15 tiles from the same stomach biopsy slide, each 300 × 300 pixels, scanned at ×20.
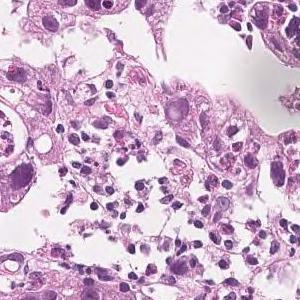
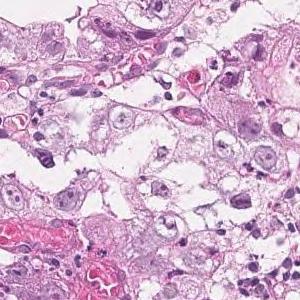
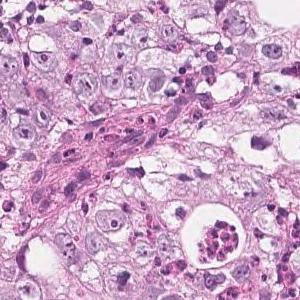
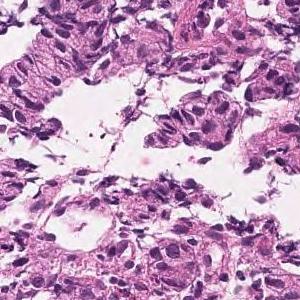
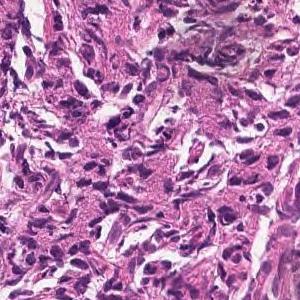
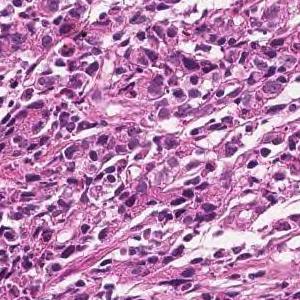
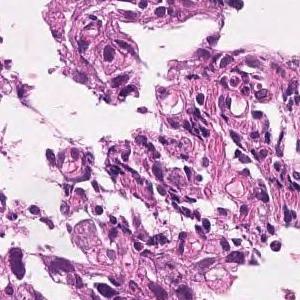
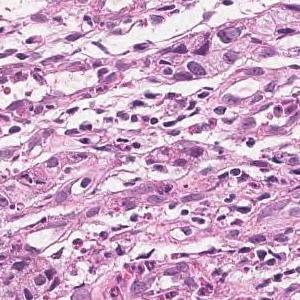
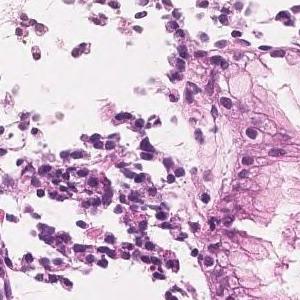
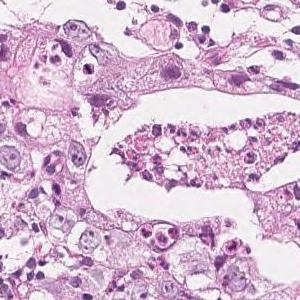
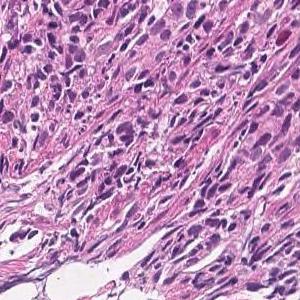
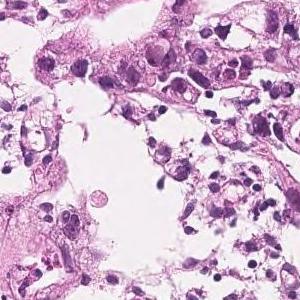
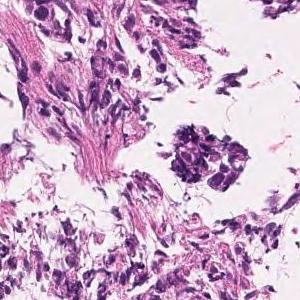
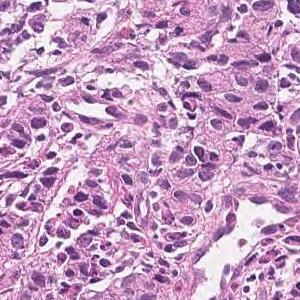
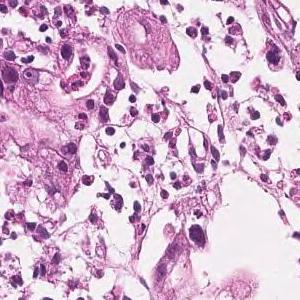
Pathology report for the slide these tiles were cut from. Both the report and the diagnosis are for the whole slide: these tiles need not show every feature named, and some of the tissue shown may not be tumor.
In the superficial epithelium, medium to small, irregular glandular ducts are formed, and in some parts, the glandular ducts are fused, and in other parts, small cord-like infiltrating tumor tissue is observed. Moderately to poorly differentiated adenocarcinoma.
